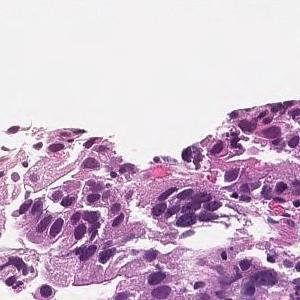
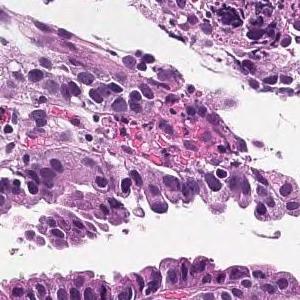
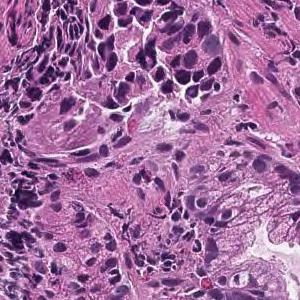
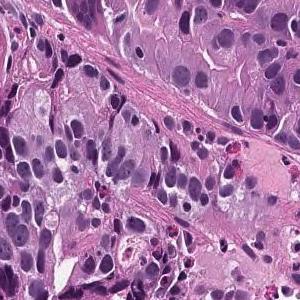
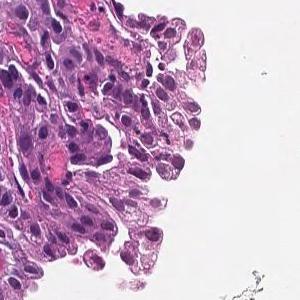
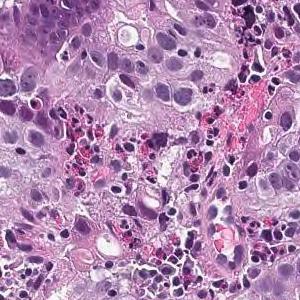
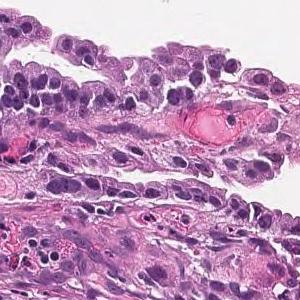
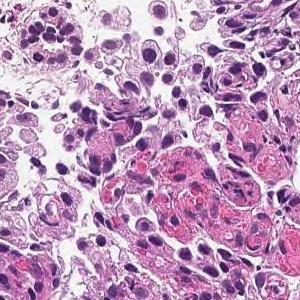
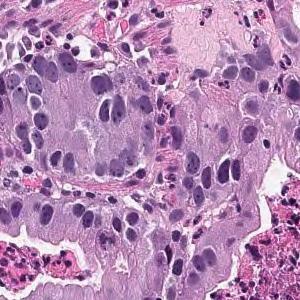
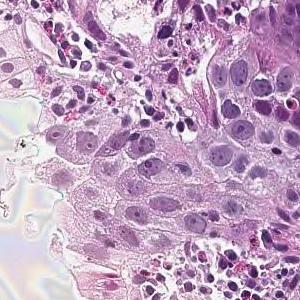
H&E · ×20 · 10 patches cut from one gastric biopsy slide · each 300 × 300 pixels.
The pathologist's report on the biopsy slide these tiles were taken from. What the report and the diagnosis say applies to the whole slide; these tiles may miss some of the features named and may include tissue that is not tumor.
From the superficial epithelium to the muscularis mucosae, tumor tissue consisting of medium-sized and irregular glandular ducts infiltrating is observed. Well differentiated tubular adenocarcinoma
